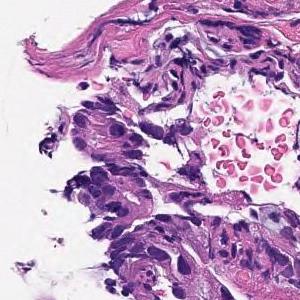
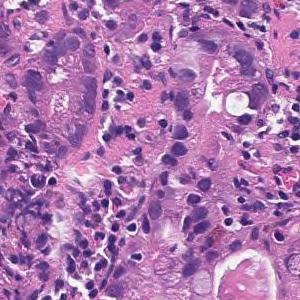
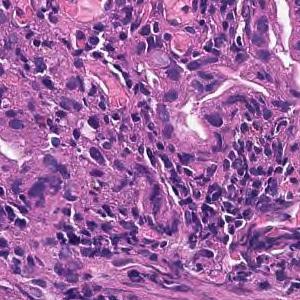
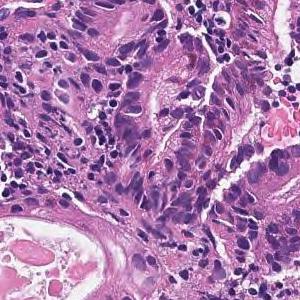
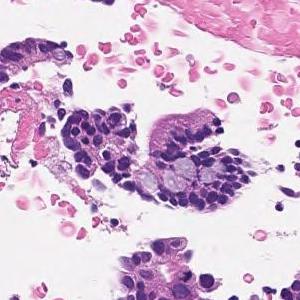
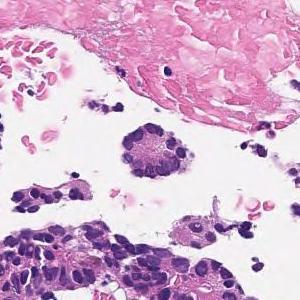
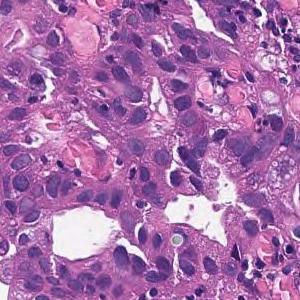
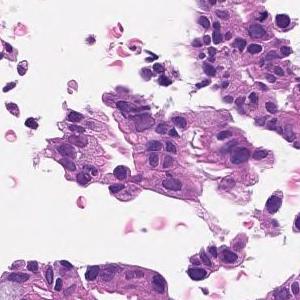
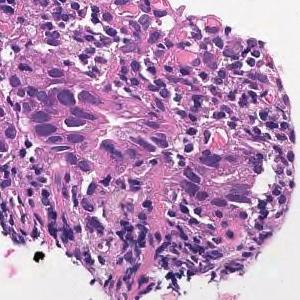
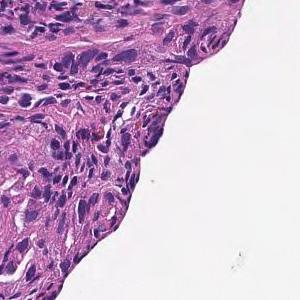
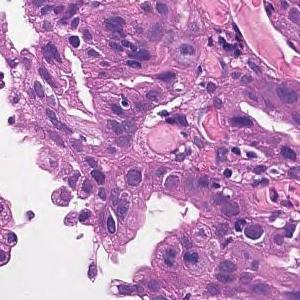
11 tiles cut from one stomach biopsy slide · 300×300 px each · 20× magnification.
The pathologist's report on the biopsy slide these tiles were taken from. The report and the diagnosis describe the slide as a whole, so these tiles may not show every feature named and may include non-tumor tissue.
In the superficial epithelium, tumor tissue that invades by forming medium-sized to small, irregular ducts is observed. moderately differentiated tubular adenocarcinoma.
